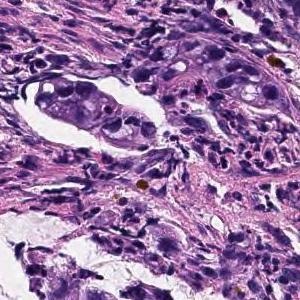
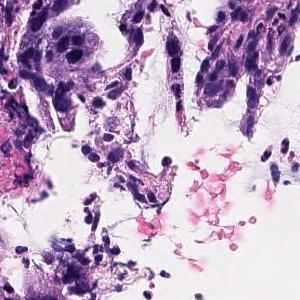
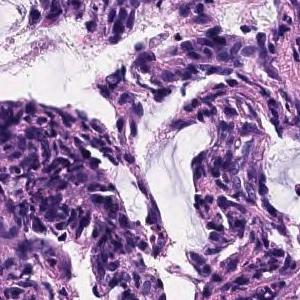
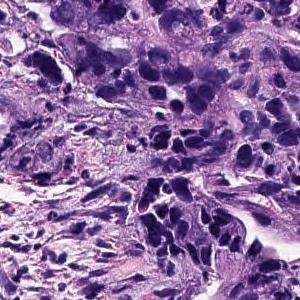
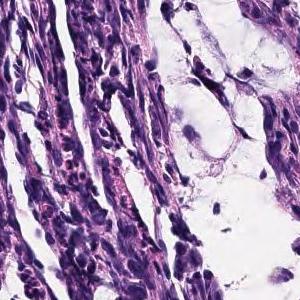
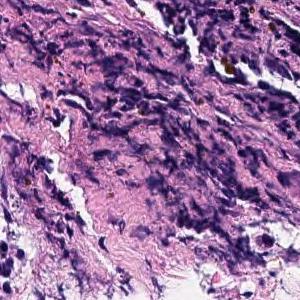
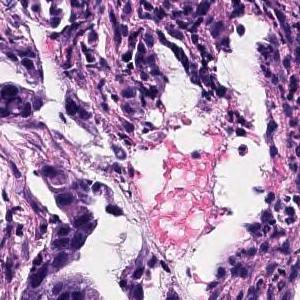
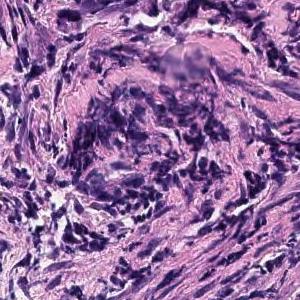
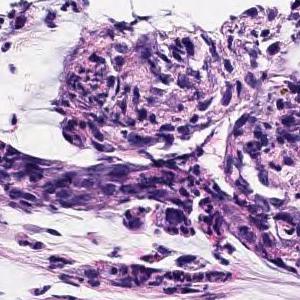
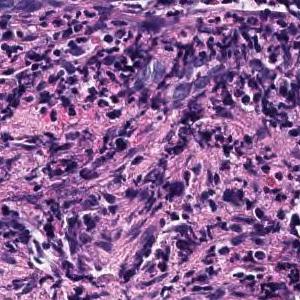
10 tiles cut from one stomach biopsy slide, 300×300 px each, ×20, H&E.
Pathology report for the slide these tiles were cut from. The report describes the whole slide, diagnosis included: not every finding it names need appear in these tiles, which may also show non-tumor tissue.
The superficial epithelium shows small cord-like infiltrating tumor tissue. Some part of neoplastic cells are signet ring cell type which show single invasion manner. Poorly differentiated adenocarcinoma, non-solid type.
"Non-solid type" is a category of the Japanese Classification of Gastric Carcinoma.
